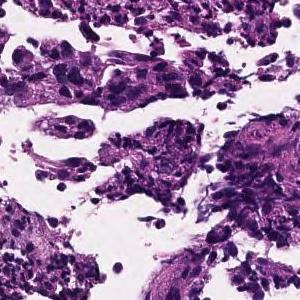
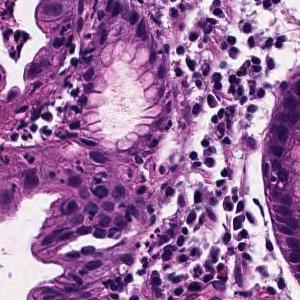
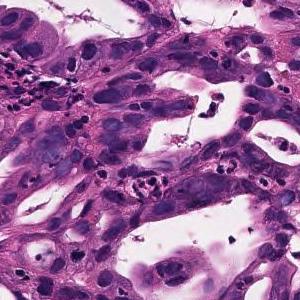
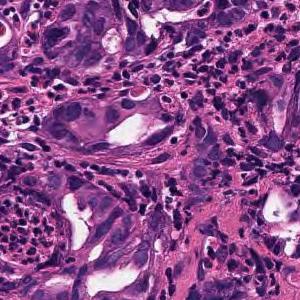
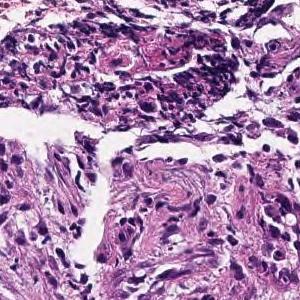
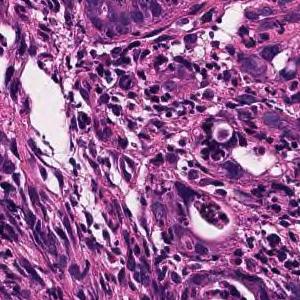
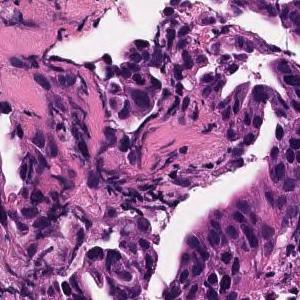
H&E stain · scanned at ×20 · 7 patches cut from one gastric biopsy slide.
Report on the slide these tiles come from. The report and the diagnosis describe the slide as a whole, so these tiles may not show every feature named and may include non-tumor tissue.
In the superficial epithelium, medium-sized to small irregular glandular ducts are formed, and in some cases, the glandular ducts are fused or small cord-like infiltrating tumor tissue is observed. moderately differentiated tubular adenocarcinoma
